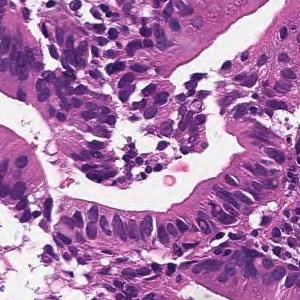
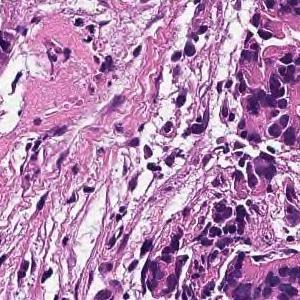
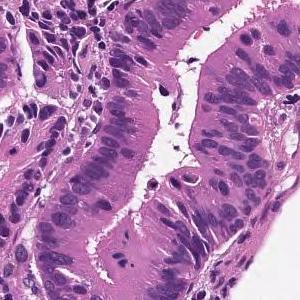
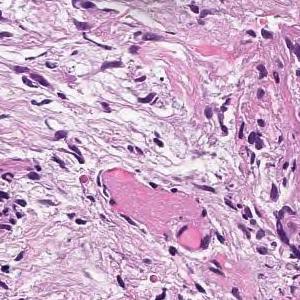
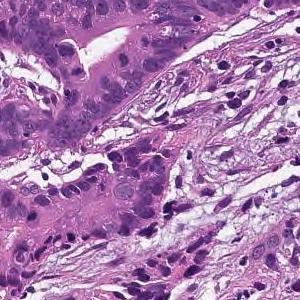
5 tiles from the same stomach biopsy slide, ×20, H&E.
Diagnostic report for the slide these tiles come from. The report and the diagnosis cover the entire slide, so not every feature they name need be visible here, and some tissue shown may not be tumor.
From the superficial epithelium to the muscularis mucosae, tumor tissue consisting of medium-sized and irregular glandular ducts infiltrating is observed. Well differentiated tubular adenocarcinoma
